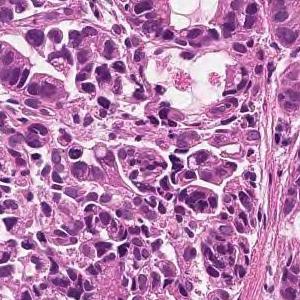
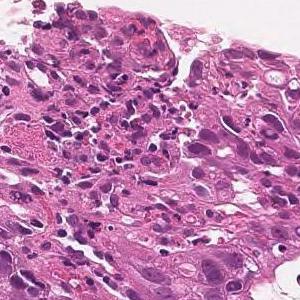
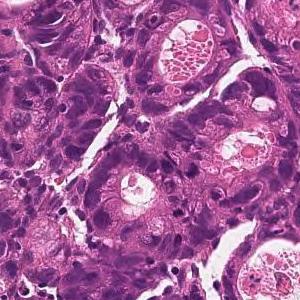
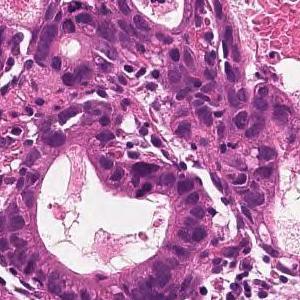
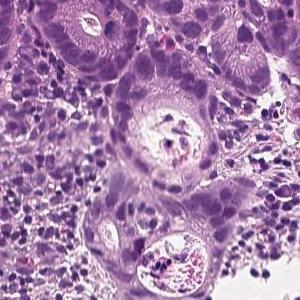
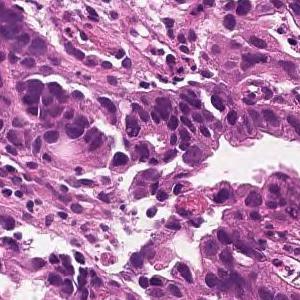
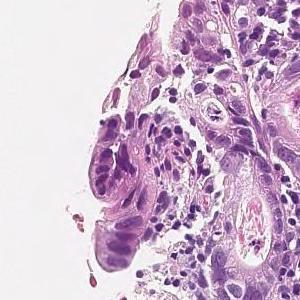
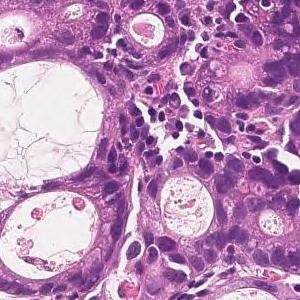
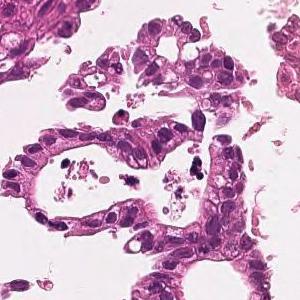
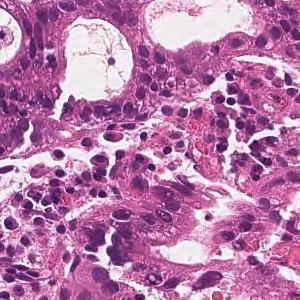
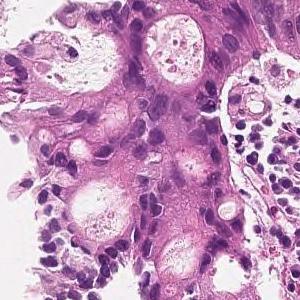
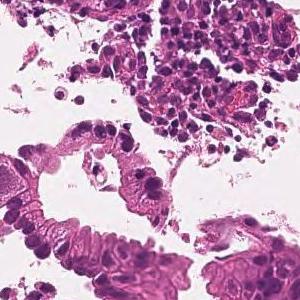
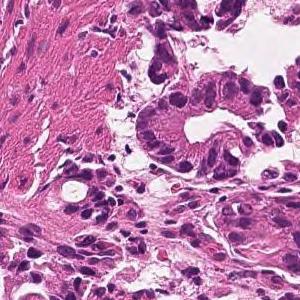
H&E, ×20, 13 tiles from the same stomach biopsy slide.
The pathologist's report on the biopsy slide these tiles were taken from. Both the report and the diagnosis are for the whole slide: these tiles need not show every feature named, and some of the tissue shown may not be tumor.
On the superficial epithelium, tumor tissue is found in which medium-sized irregular gland ducts fuse with each other and infiltrate. moderately differentiated tubular adenocarcinoma
